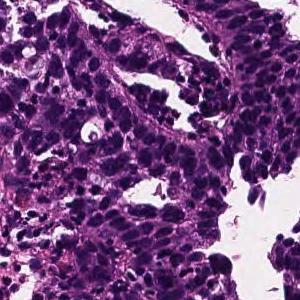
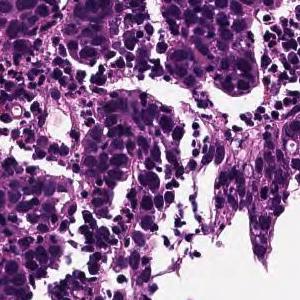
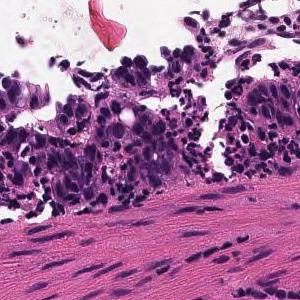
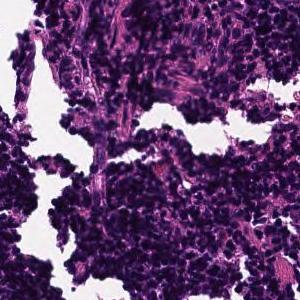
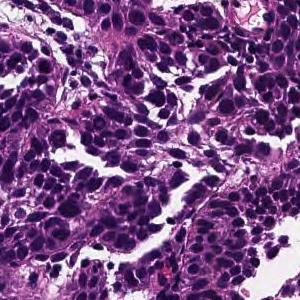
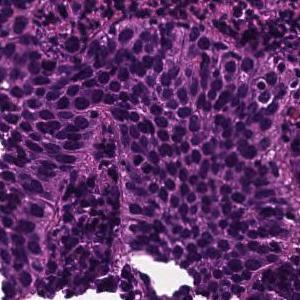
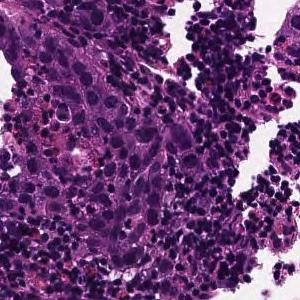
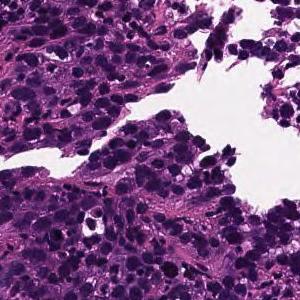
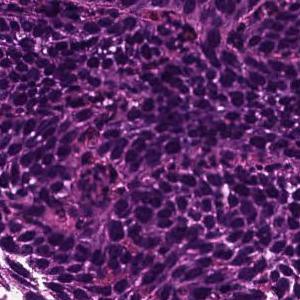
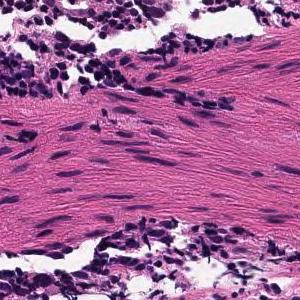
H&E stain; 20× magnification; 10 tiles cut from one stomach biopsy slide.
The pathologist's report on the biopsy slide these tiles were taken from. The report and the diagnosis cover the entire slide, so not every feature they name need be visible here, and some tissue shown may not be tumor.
Tumor tissue consisting of cord-like or small, irregular glandular ducts fused and infiltrated is observed in the superficial epithelium. Poorly differentiated adenocarcinoma, non-solid type
The non-solid type named here is a Japanese Classification of Gastric Carcinoma category.
